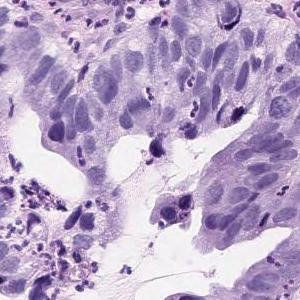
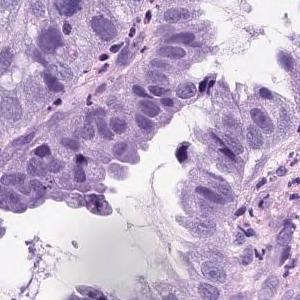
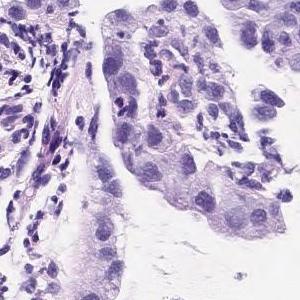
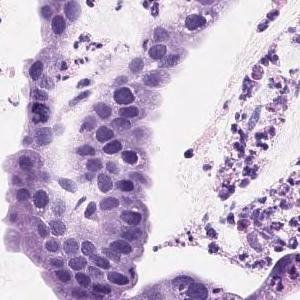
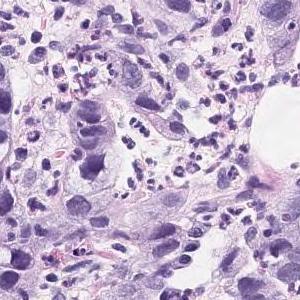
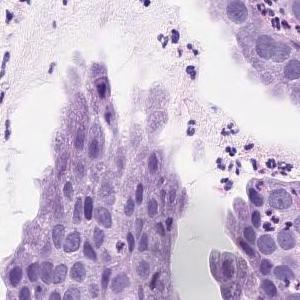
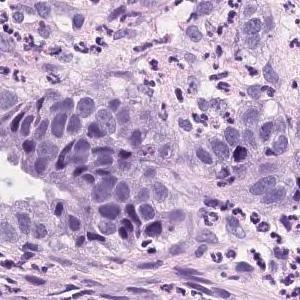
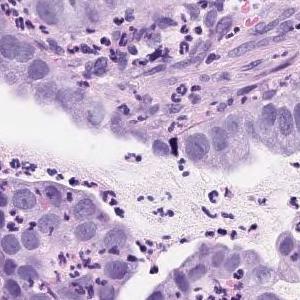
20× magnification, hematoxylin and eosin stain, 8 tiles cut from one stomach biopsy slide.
Diagnostic report for the slide these tiles come from. The findings and the diagnosis refer to the entire slide; these tiles show only part of it, possibly with non-tumor tissue, and may not show every feature named.
Atypical l cells with atypical nuclei forming solid or diffuse vesicles or small irregular atypical ducts and growing in a complex manner. Well differentiated tubular adenocarcinoma
